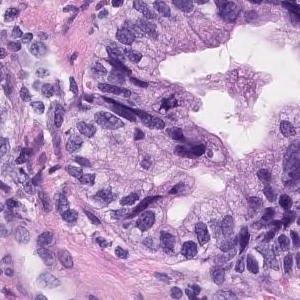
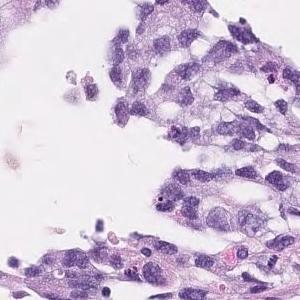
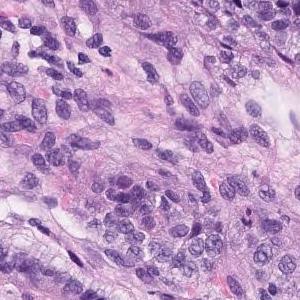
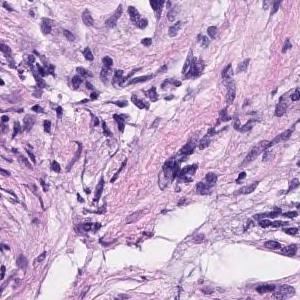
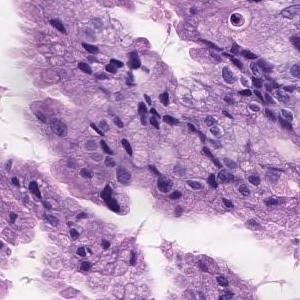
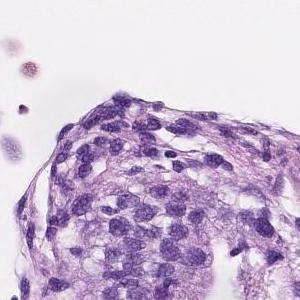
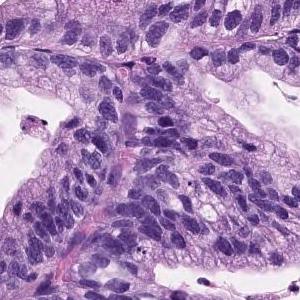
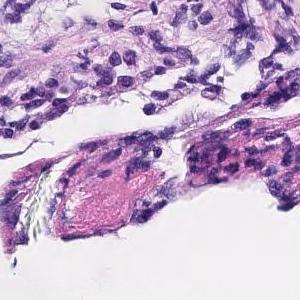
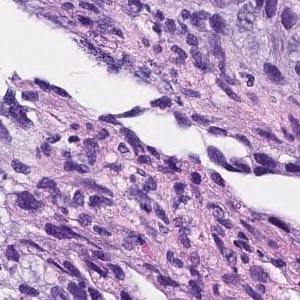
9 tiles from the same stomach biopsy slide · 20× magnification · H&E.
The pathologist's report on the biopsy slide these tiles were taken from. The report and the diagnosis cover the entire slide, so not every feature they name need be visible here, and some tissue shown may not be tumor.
Tumor cells are large, highly columnar, large club-shaped nuclei, and are associated with chromatin aggregation. Papillary adenocarcinoma.
